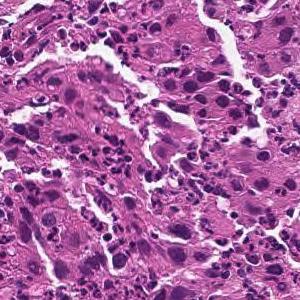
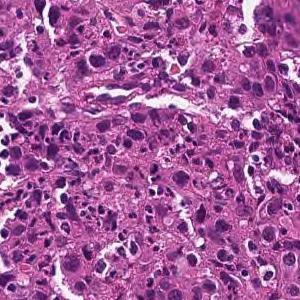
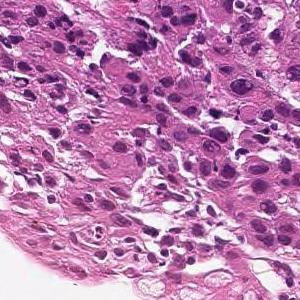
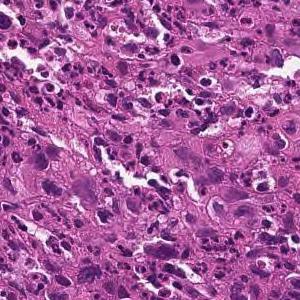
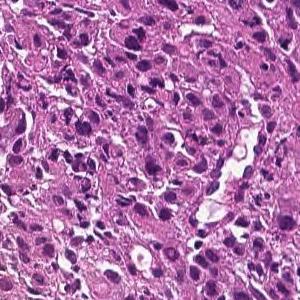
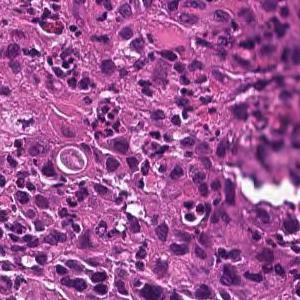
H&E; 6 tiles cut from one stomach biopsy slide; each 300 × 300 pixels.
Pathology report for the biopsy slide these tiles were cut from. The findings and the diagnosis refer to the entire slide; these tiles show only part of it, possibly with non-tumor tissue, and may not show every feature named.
The superficial epithelium shows a large sheet-like shape, and some tumor tissue infiltrates with small irregular ducts. Poorly differentiated adenocarcinoma, solid-type
Subtype: Poorly differentiated adenocarcinoma, solid type, a category of the Japanese Classification of Gastric Carcinoma; in the WHO 2019 classification it is tubular adenocarcinoma, poorly differentiated.
